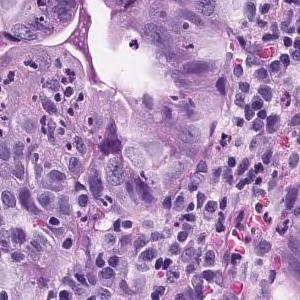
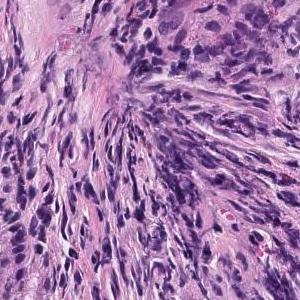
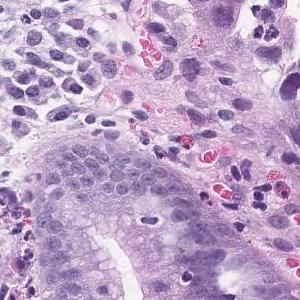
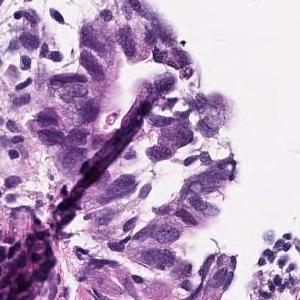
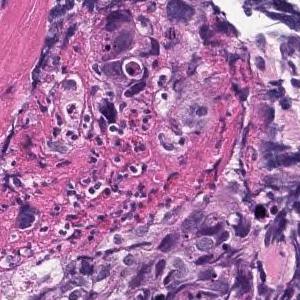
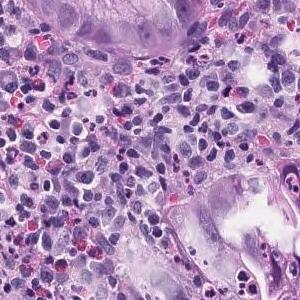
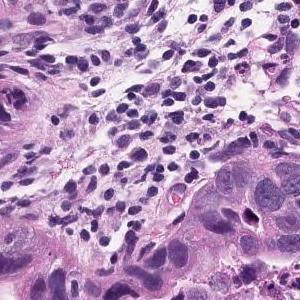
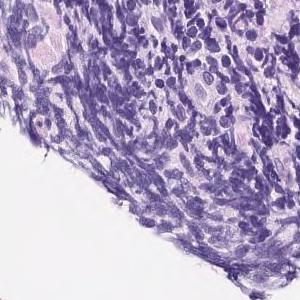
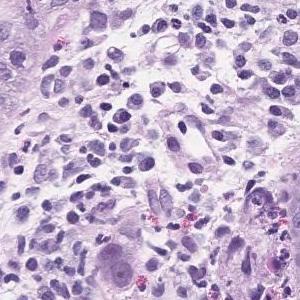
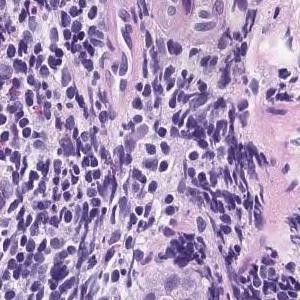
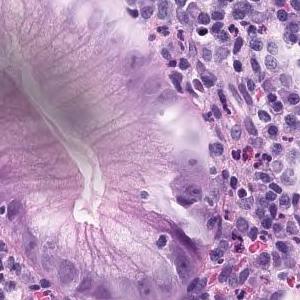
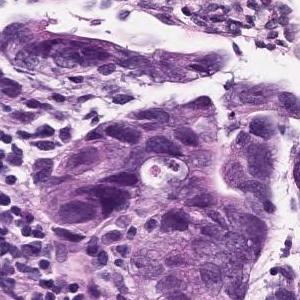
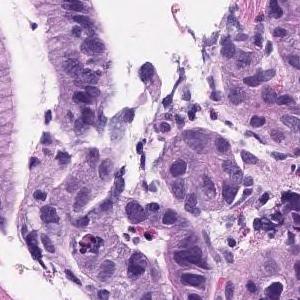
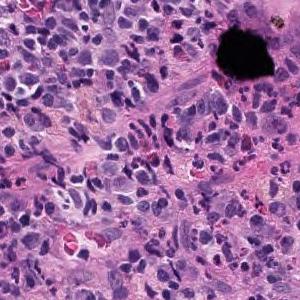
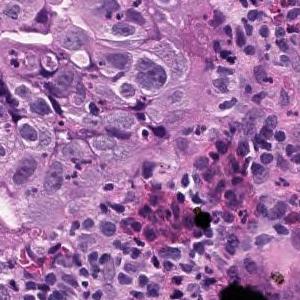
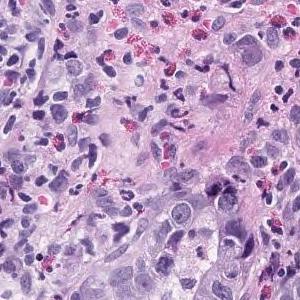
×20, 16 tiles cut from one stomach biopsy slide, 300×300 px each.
Pathology report for the slide these tiles were cut from. The report and the diagnosis describe the slide as a whole, so these tiles may not show every feature named and may include non-tumor tissue.
Atypical epithelium replaces superficial epithelium or localized ducts, or grows while forming irregular ducts. Well differentiated tubular adenocarcinoma
